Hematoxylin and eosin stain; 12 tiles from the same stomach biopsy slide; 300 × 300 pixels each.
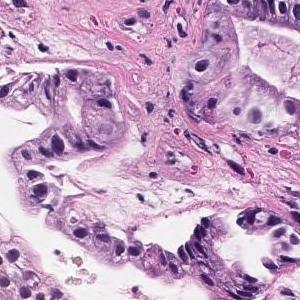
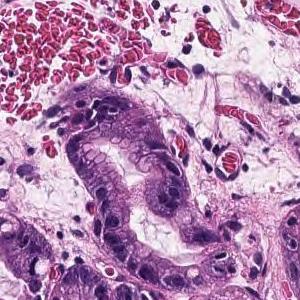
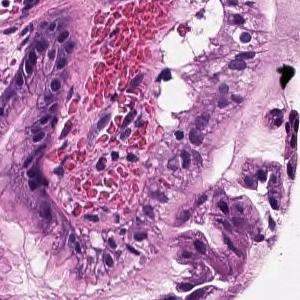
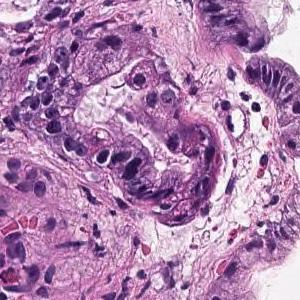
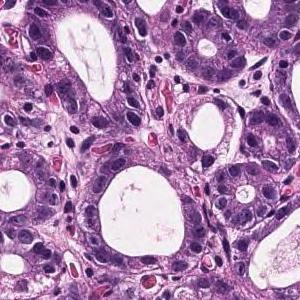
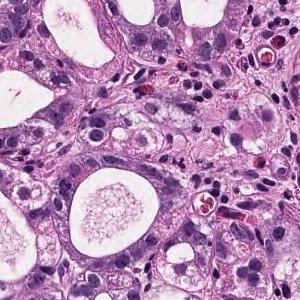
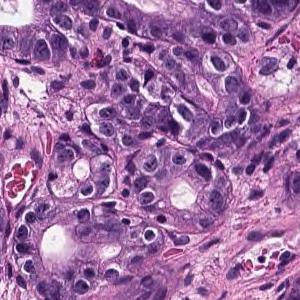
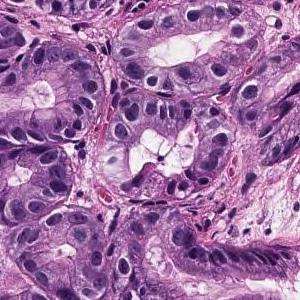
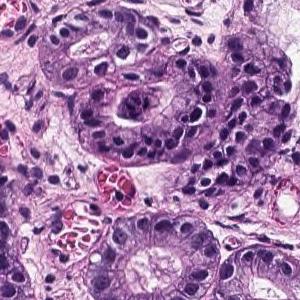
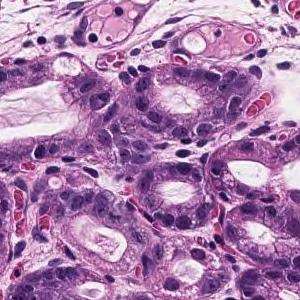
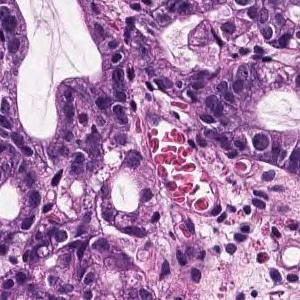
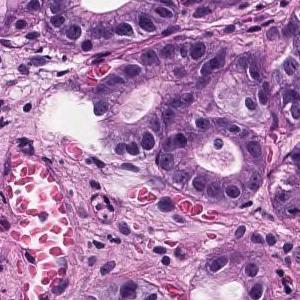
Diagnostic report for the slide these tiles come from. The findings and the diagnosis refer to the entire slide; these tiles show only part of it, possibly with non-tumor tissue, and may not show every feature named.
On the superficial epithelium, tumor tissue that infiltrates by forming medium-sized round or small irregular ducts is observed. Papillary adenocarcinoma
